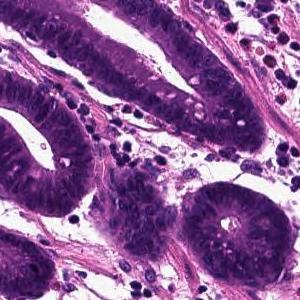
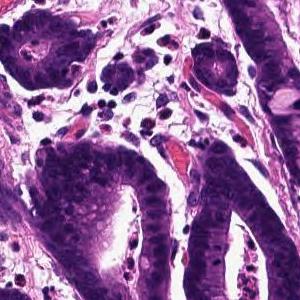
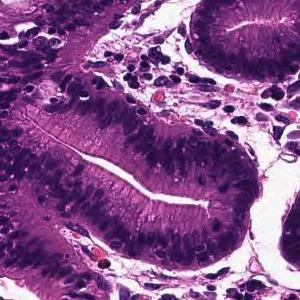
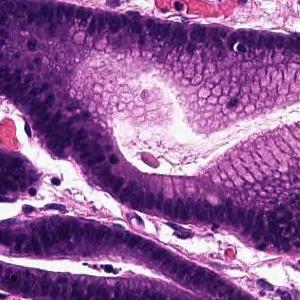
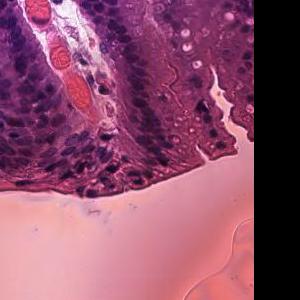
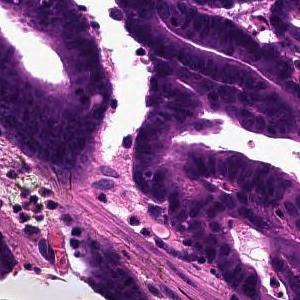
6 patches cut from one gastric biopsy slide, each 300 × 300 pixels, 20× magnification, H&E stain.
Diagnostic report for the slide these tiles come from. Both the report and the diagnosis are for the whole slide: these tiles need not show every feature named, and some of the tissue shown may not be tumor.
Tumor tissue that infiltrates by forming large papillary or large irregular glandular ducts is observed confined to the mucosa. Papillary adenocarcinoma
